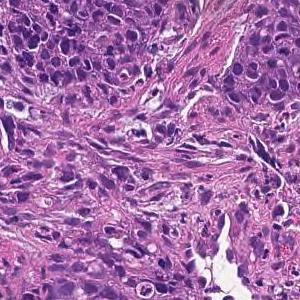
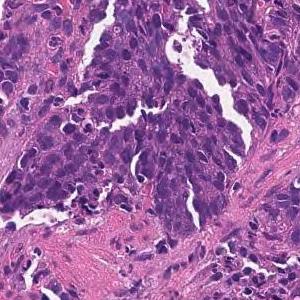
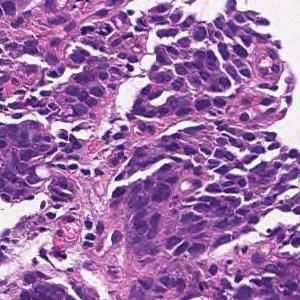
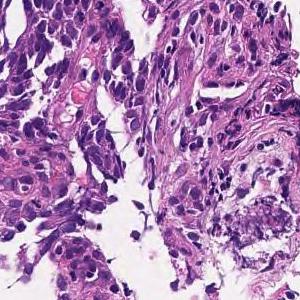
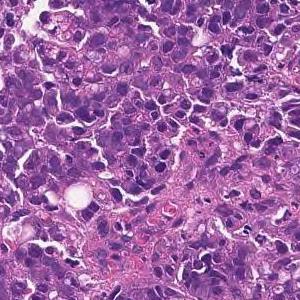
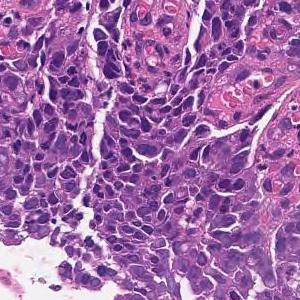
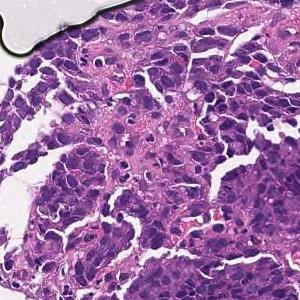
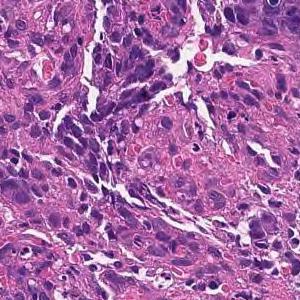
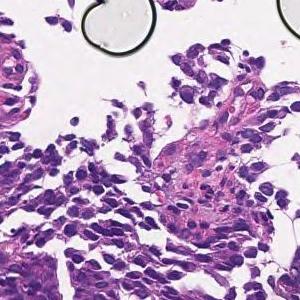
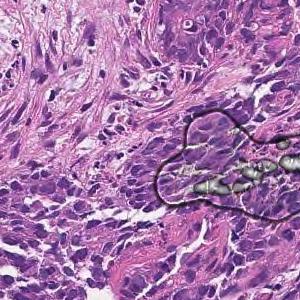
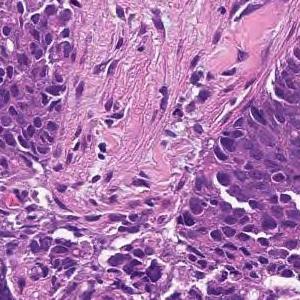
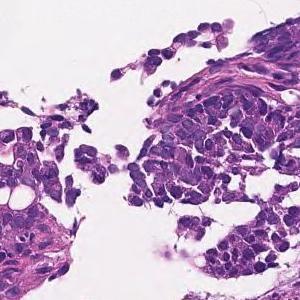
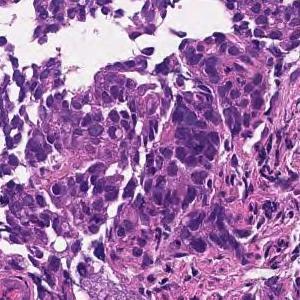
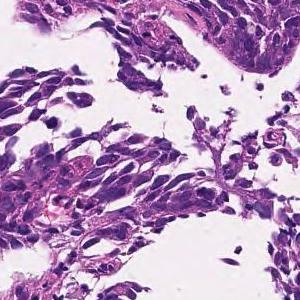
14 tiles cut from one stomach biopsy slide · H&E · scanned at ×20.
Pathology report for the biopsy slide these tiles were cut from. Both the report and the diagnosis are for the whole slide: these tiles need not show every feature named, and some of the tissue shown may not be tumor.
Tumor tissue consisting of cord-like or small, irregular glandular ducts fused and infiltrated is observed in the superficial epithelium. Poorly differentiated adenocarcinoma, non-solid type
The non-solid type named here is a Japanese Classification of Gastric Carcinoma category.
